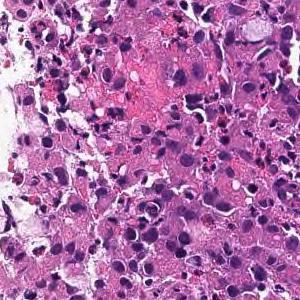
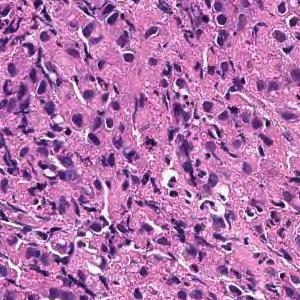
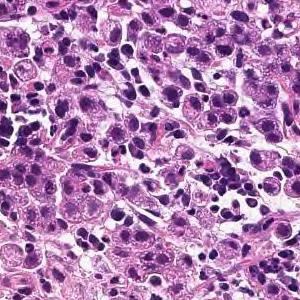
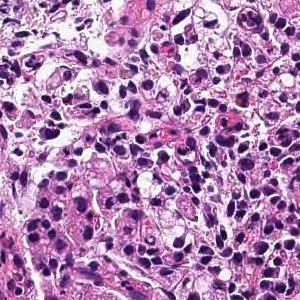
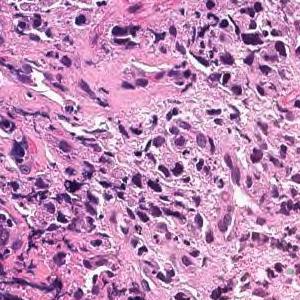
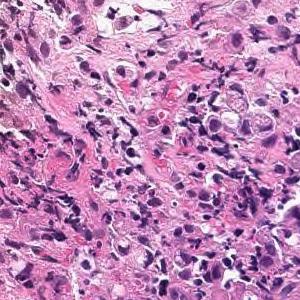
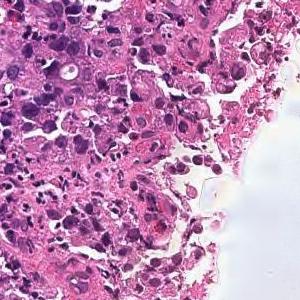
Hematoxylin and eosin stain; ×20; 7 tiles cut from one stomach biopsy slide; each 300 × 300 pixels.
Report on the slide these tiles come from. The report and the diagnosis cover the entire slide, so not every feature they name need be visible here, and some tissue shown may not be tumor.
Tumor tissue consisting of diffusely infiltrated large atypical epithelial cells or signet ring atypical cells is observed in the superficial epithelium. Poorly differentiated adenocarcinoma, solid-type
Classified as poorly differentiated adenocarcinoma, solid type (Japanese Classification of Gastric Carcinoma). The WHO 2019 equivalent is tubular adenocarcinoma, poorly differentiated.
